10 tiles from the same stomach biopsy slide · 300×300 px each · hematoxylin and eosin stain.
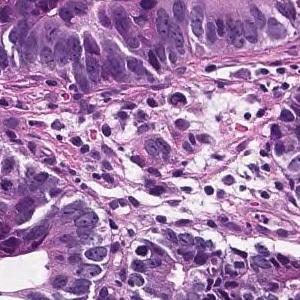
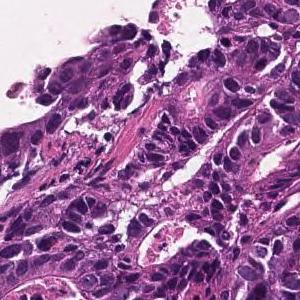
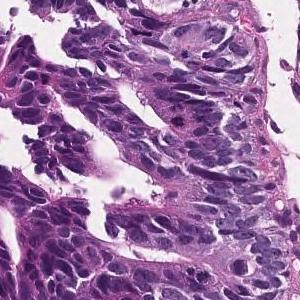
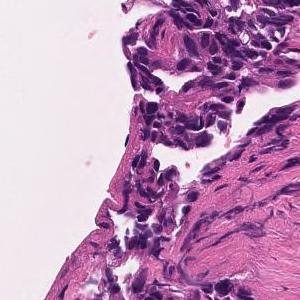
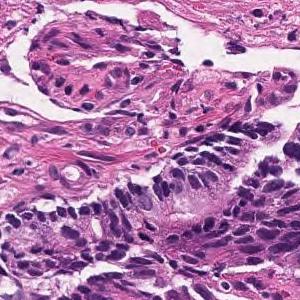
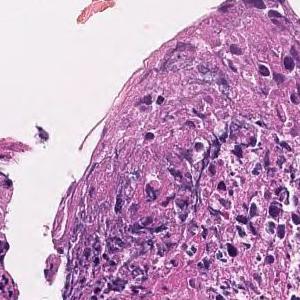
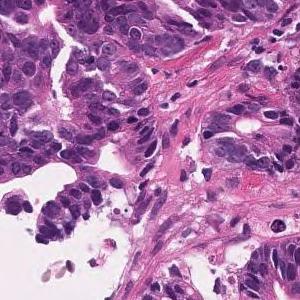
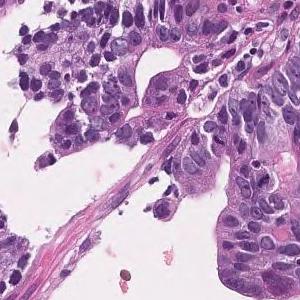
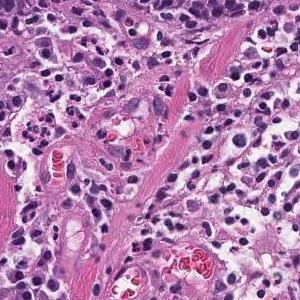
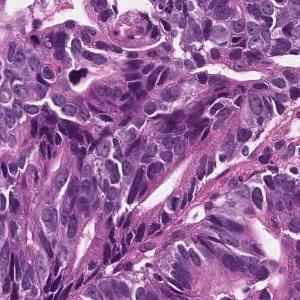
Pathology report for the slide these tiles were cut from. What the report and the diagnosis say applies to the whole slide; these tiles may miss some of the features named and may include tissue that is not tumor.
In the superficial epithelium, tumor tissue that invades by forming medium-sized to small, irregular ducts is observed. moderately differentiated tubular adenocarcinoma.
